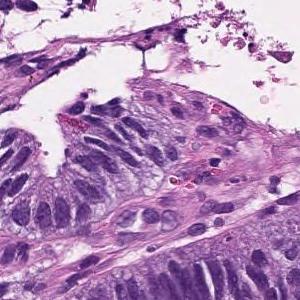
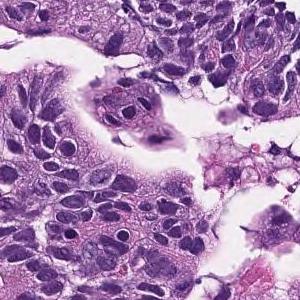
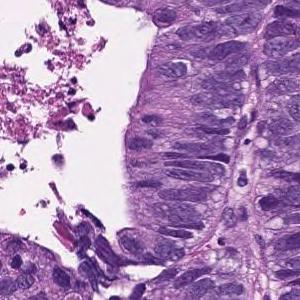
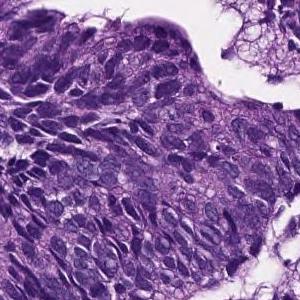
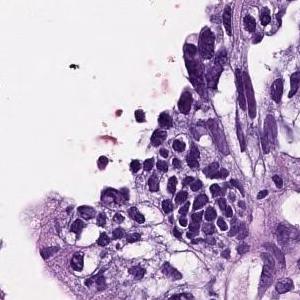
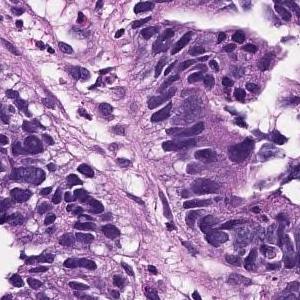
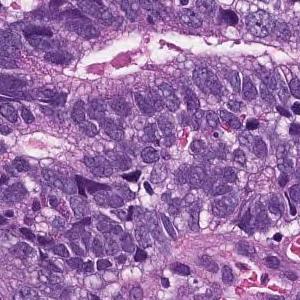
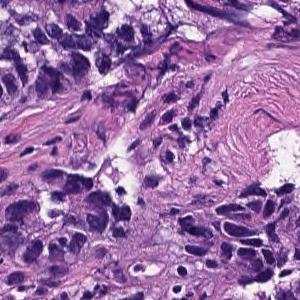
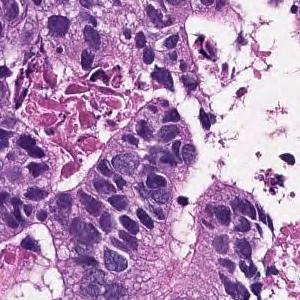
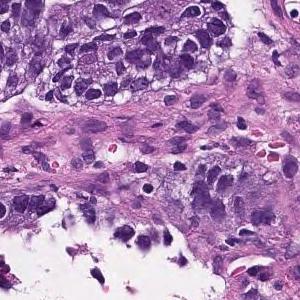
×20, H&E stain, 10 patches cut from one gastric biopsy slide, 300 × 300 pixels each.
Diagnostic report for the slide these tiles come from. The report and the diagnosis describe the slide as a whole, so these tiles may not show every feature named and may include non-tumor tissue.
In the superficial epithelium, tumor tissue that invades by forming medium-sized to small, irregular ducts is observed. moderately differentiated tubular adenocarcinoma.
